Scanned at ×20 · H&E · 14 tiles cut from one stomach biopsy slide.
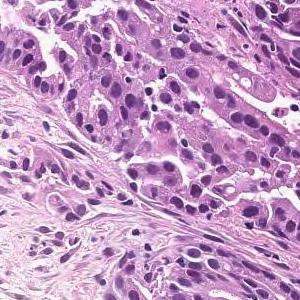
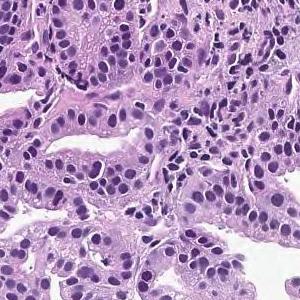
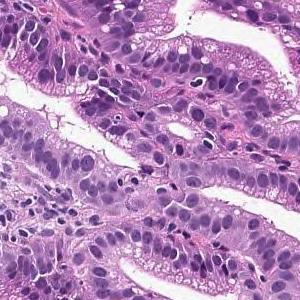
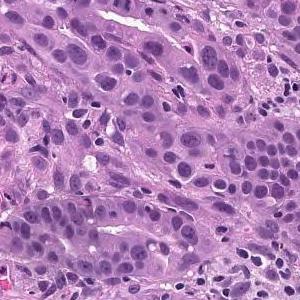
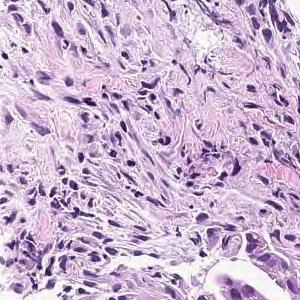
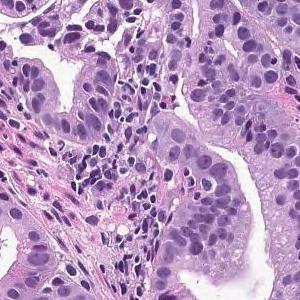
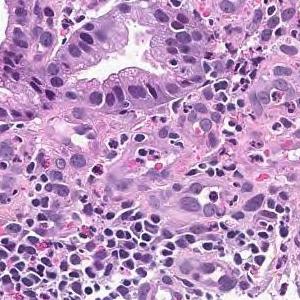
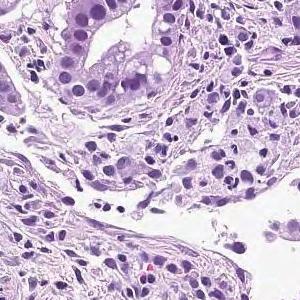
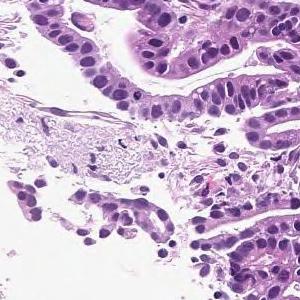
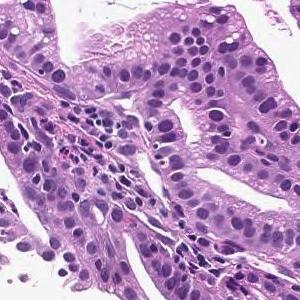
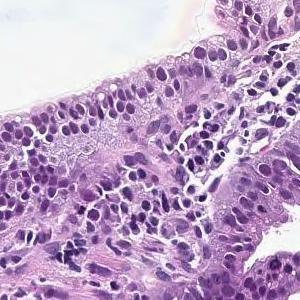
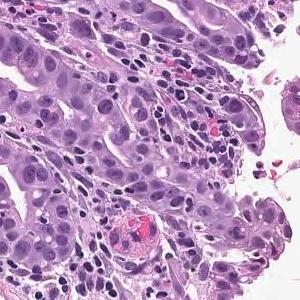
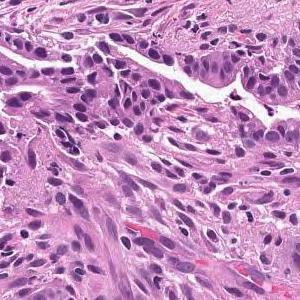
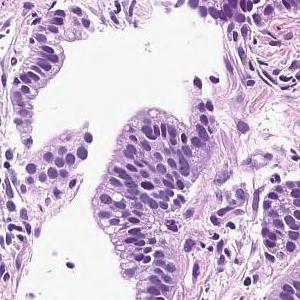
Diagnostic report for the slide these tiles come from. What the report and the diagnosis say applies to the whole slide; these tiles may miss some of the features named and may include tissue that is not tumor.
On the superficial epithelium, tumor tissue that infiltrates by forming medium-sized papillary or small irregular ducts is observed. Papillary adenocarcinoma
